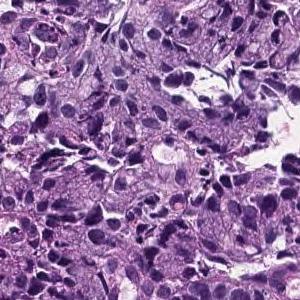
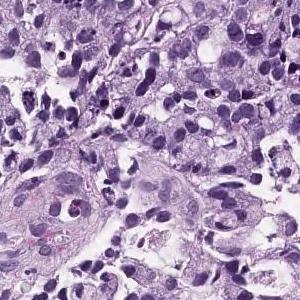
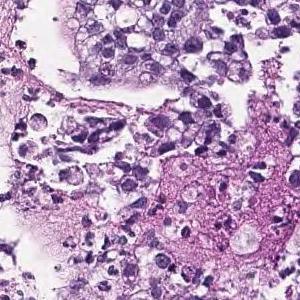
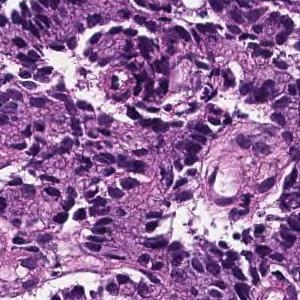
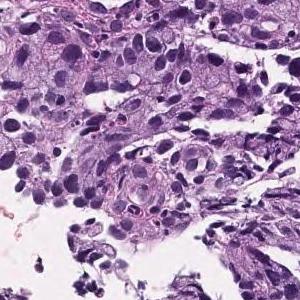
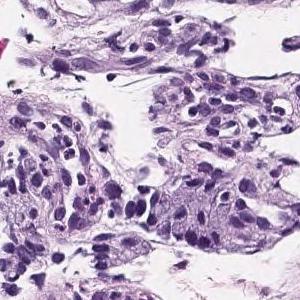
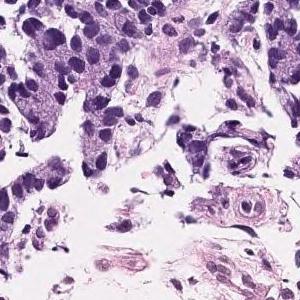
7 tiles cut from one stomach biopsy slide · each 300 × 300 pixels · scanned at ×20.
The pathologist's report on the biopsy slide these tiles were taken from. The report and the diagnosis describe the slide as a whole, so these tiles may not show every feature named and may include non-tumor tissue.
Tumor tissue infiltrated by irregular fusion of small cord-like structures is found in the superficial epithelium. Poorly differentiated adenocarcinoma, non-solid type
The non-solid type named here is a Japanese Classification of Gastric Carcinoma category.
